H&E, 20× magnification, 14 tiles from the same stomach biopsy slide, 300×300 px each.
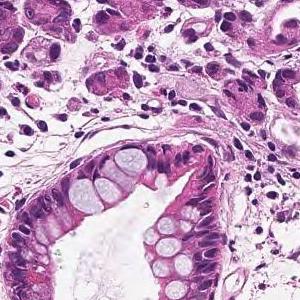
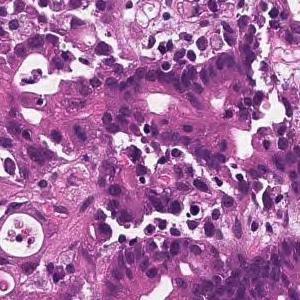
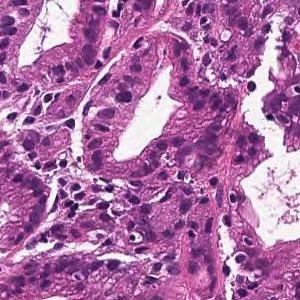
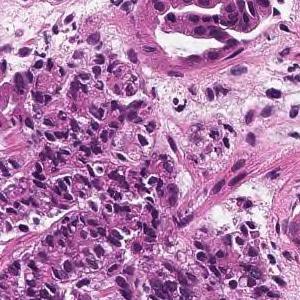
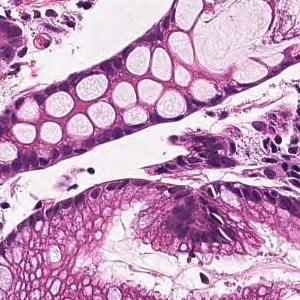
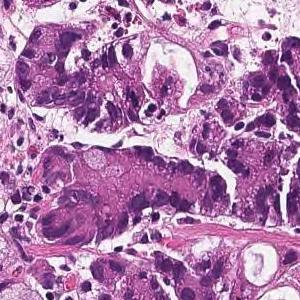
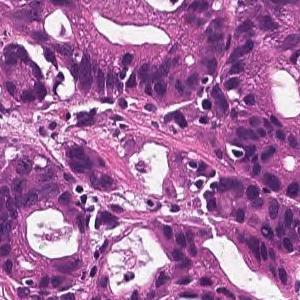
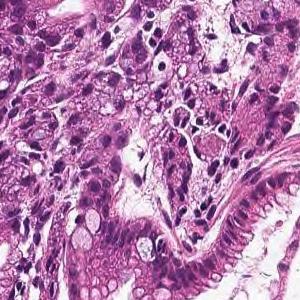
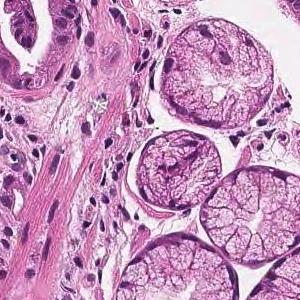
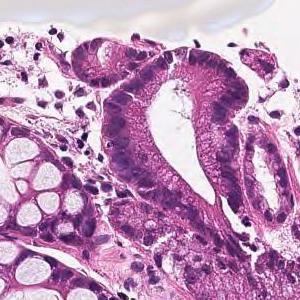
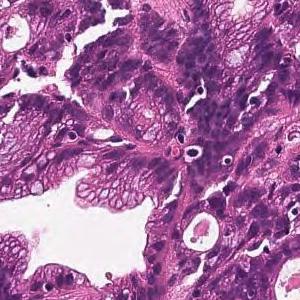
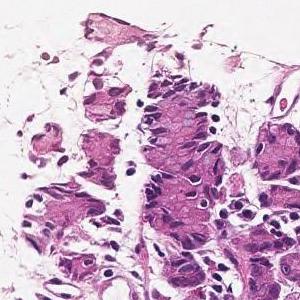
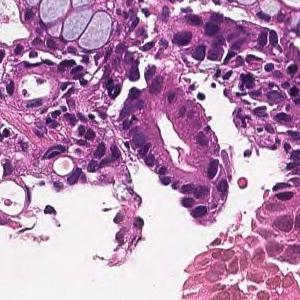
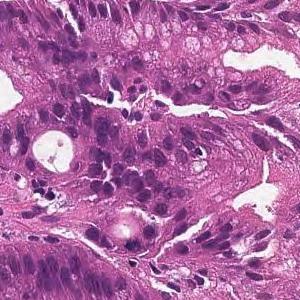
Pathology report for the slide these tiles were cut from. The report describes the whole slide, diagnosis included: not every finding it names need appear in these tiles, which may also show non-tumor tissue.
In the superficial epithelium, tumor tissue that invades by forming medium-sized to small, irregular ducts is observed. moderately differentiated tubular adenocarcinoma.
